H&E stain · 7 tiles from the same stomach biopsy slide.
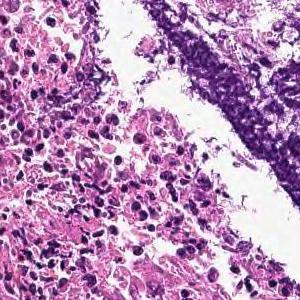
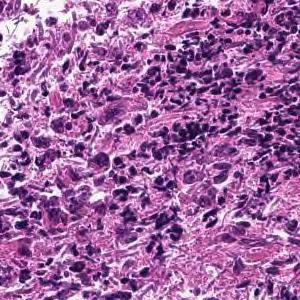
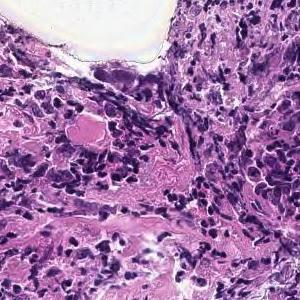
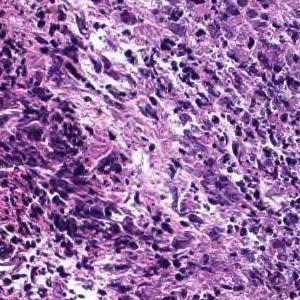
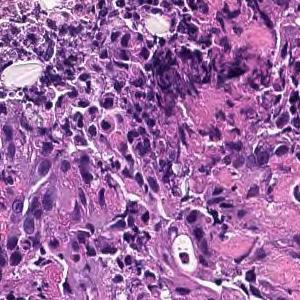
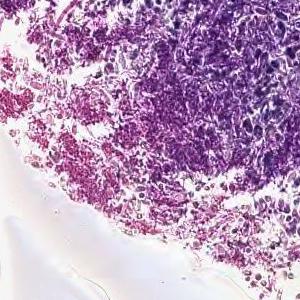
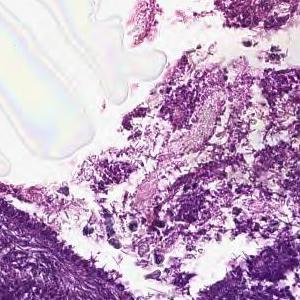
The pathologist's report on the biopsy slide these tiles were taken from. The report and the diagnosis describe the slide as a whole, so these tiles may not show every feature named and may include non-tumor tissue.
Cancers with polygonal nuclei do not show glandular formation and are densely, in part, cord-like and proliferate. Poorly differentiated adenocarcinoma
Tumor subtype: poorly differentiated adenocarcinoma, non-solid type.
"Non-solid type" is a category of the Japanese Classification of Gastric Carcinoma.
